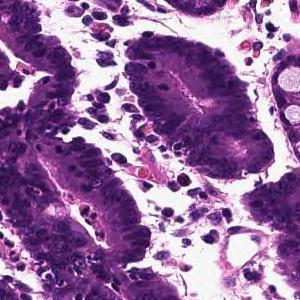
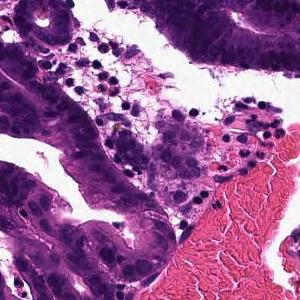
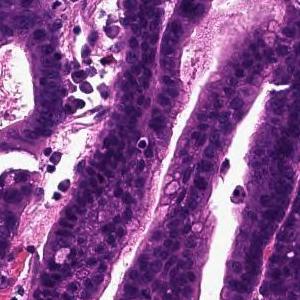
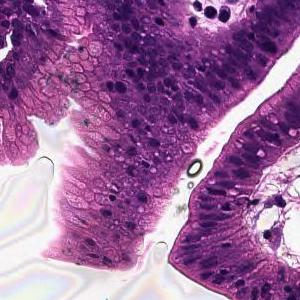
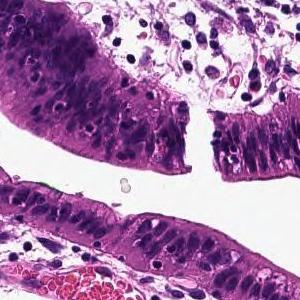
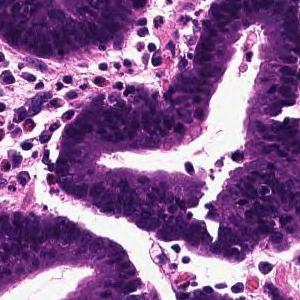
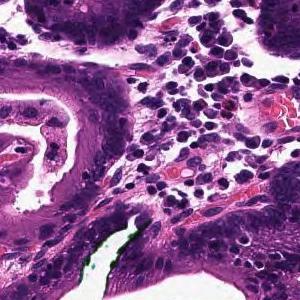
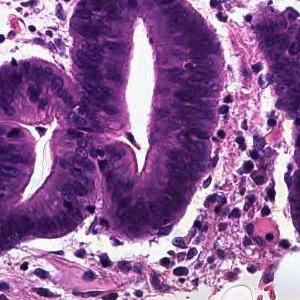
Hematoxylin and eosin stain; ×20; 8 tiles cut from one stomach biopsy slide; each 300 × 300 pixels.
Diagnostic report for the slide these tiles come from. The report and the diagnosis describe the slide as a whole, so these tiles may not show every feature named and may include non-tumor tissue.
Tumor tissue that infiltrates by forming large papillary or large irregular glandular ducts is observed confined to the mucosa. Papillary adenocarcinoma
